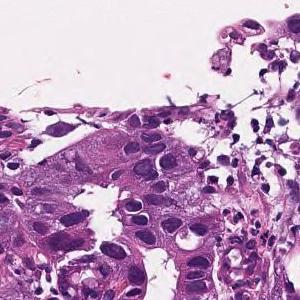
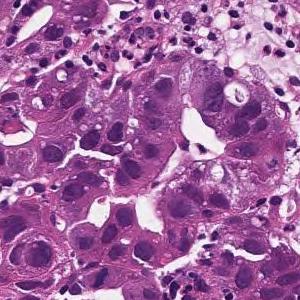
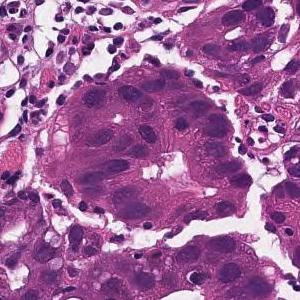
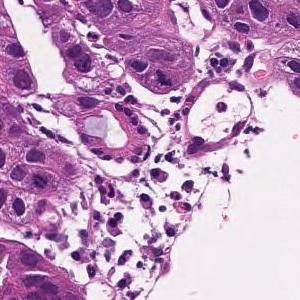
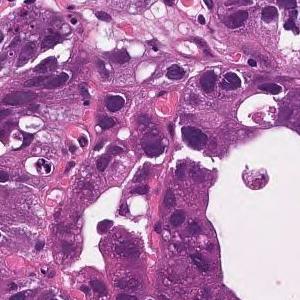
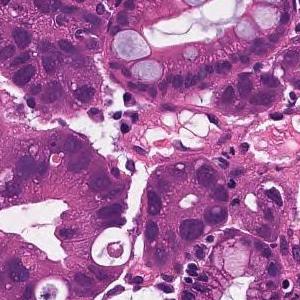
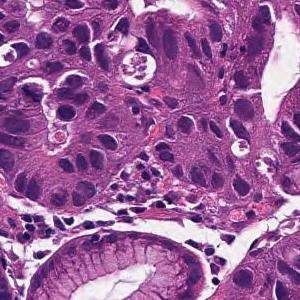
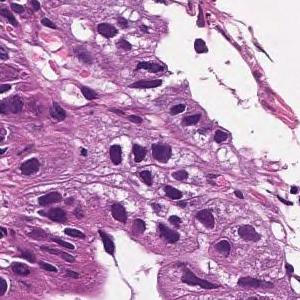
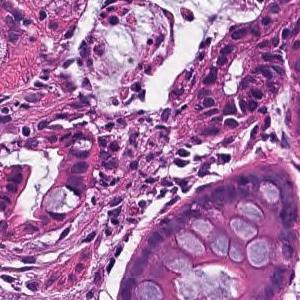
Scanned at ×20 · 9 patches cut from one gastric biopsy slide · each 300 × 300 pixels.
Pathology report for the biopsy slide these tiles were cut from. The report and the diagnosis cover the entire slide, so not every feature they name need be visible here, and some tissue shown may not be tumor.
In the superficial epithelium, tumor tissue that invades by forming medium-sized to small, irregular ducts is observed. moderately differentiated tubular adenocarcinoma.
